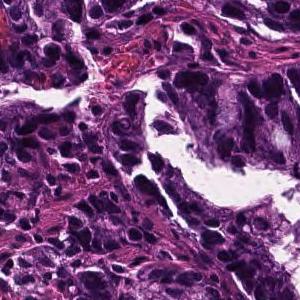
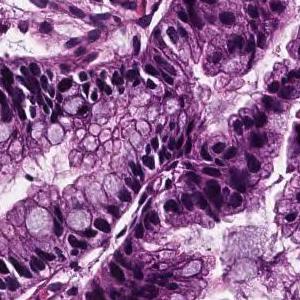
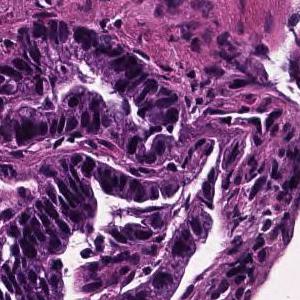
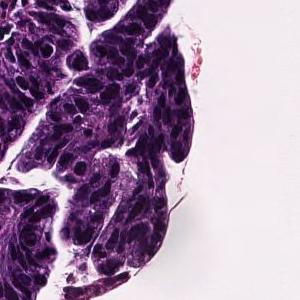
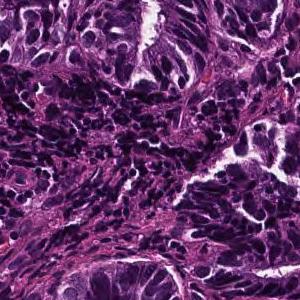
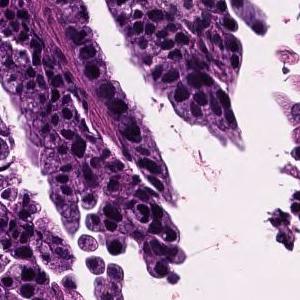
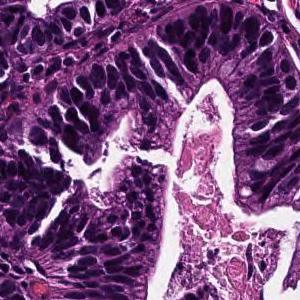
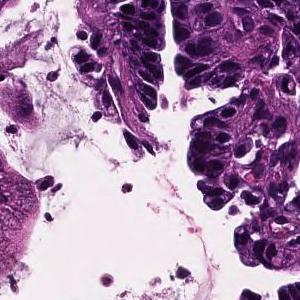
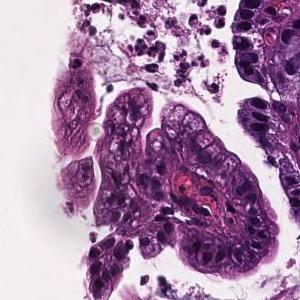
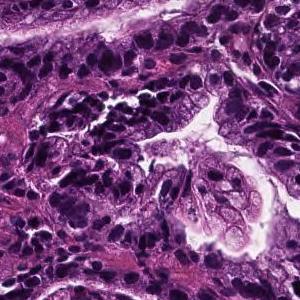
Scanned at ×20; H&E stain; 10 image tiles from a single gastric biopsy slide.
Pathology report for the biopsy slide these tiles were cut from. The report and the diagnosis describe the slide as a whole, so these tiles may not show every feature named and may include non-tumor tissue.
In the superficial epithelium, tumor tissue that invades by forming medium-sized to small, irregular ducts is observed. Well differentiated tubular adenocarcinoma.
